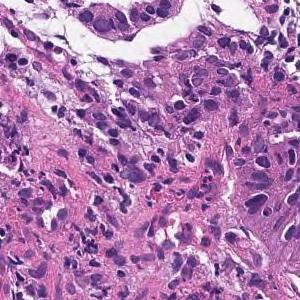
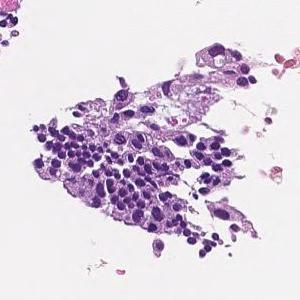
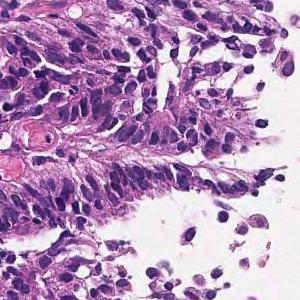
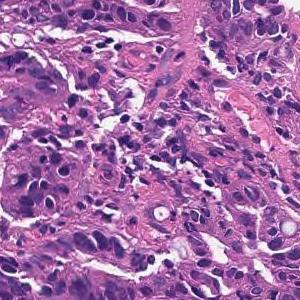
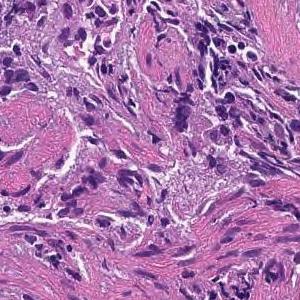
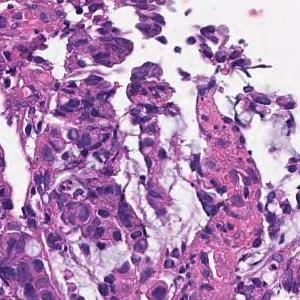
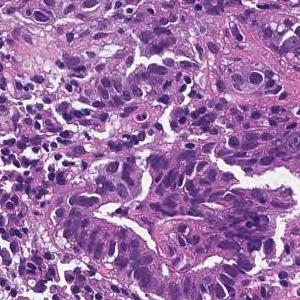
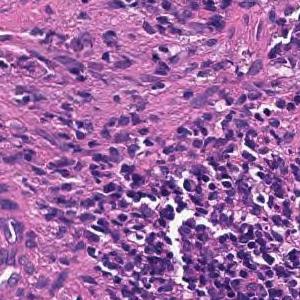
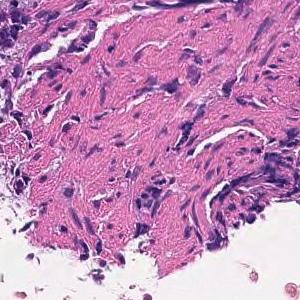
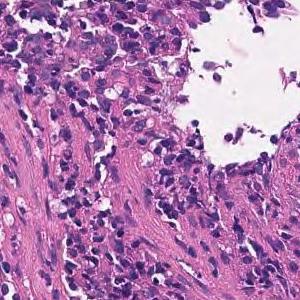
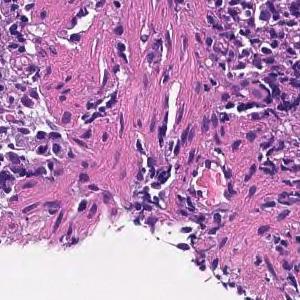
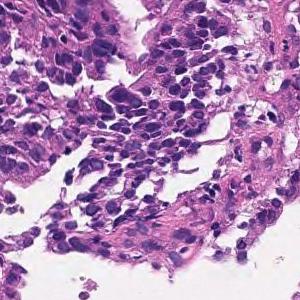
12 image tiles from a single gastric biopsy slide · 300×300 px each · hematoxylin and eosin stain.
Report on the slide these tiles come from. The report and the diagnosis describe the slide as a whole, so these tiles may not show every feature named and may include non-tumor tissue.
On the superficial epithelium, tumor tissue consisting of large, irregular glandular ducts partially fused and infiltrated is observed. Well to moderately differentiated tubular adenocarcinoma (well differentiated tubular adenocarcinoma, moderately differentiated tubular adenocarcinoma)
Tumor subtype: well to moderately differentiated tubular adenocarcinoma.
